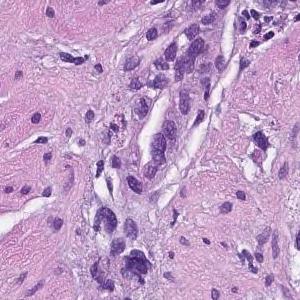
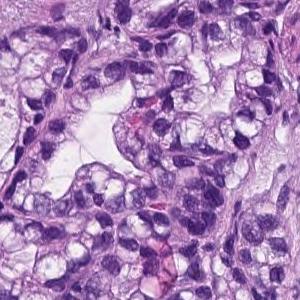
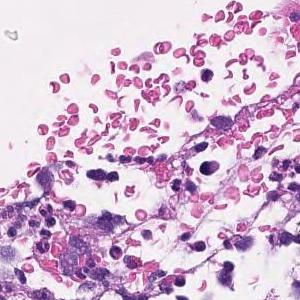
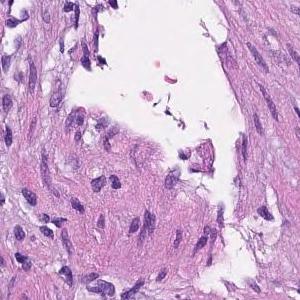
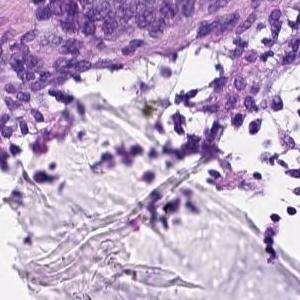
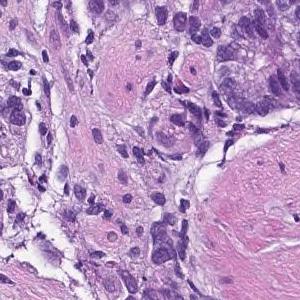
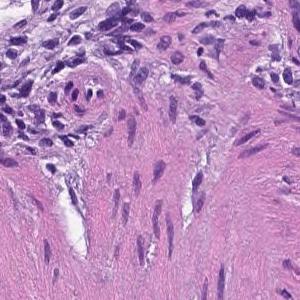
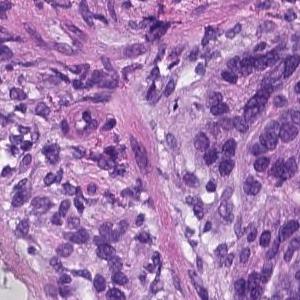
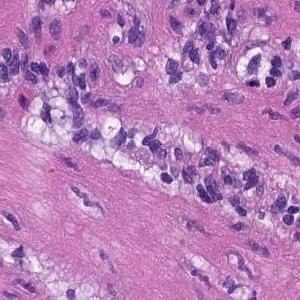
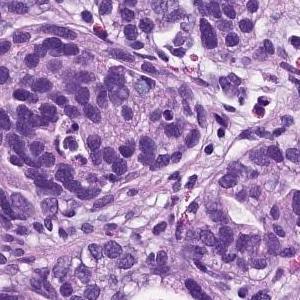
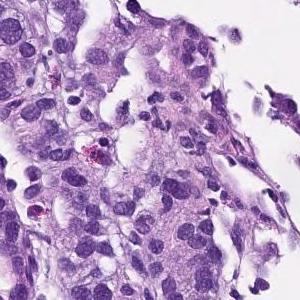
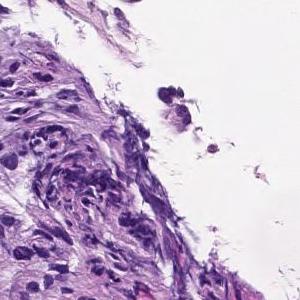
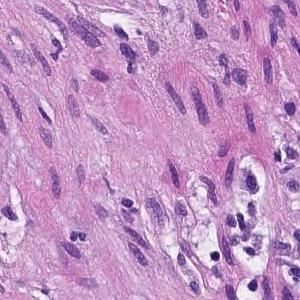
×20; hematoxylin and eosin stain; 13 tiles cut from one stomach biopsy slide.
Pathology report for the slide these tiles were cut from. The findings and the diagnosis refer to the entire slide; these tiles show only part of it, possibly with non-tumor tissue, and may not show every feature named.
From the superficial epithelium to the muscularis mucosae, tumor tissue consisting of medium-sized and irregular glandular ducts infiltrating is observed. Well differentiated tubular adenocarcinoma
